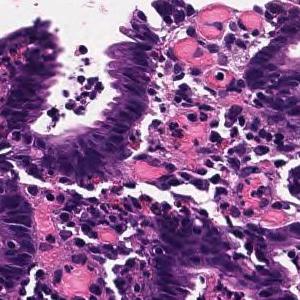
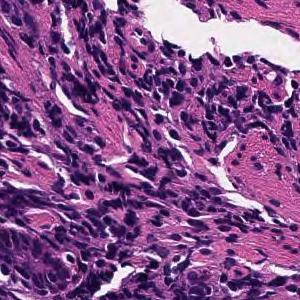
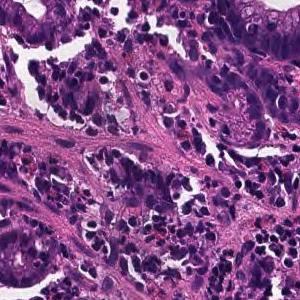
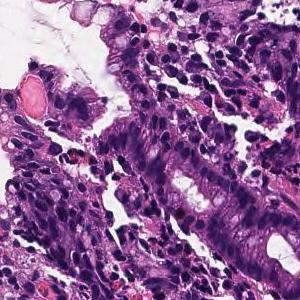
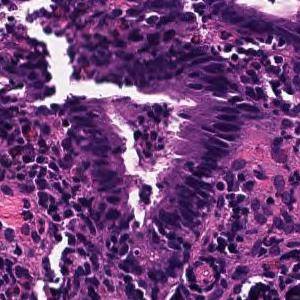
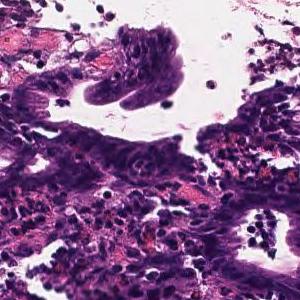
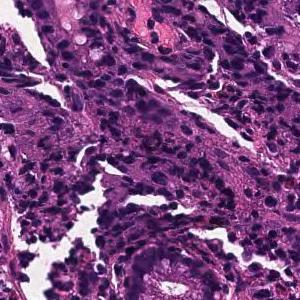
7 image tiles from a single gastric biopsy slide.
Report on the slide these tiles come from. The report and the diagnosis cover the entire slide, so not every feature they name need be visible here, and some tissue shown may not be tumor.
In the superficial epithelium, tumor tissue that invades by forming medium-sized to small, irregular ducts is observed. moderately differentiated tubular adenocarcinoma.
